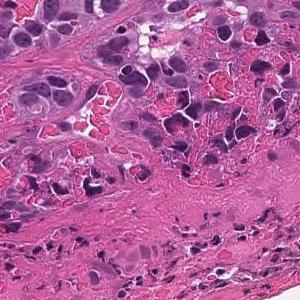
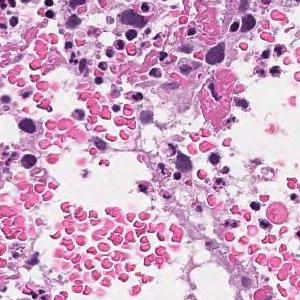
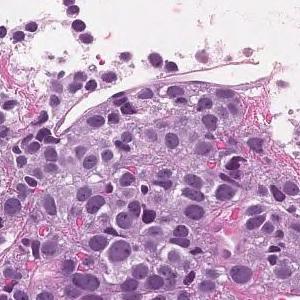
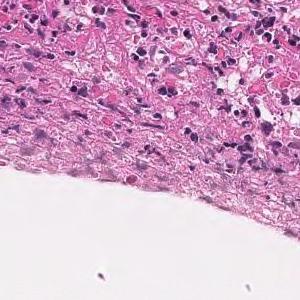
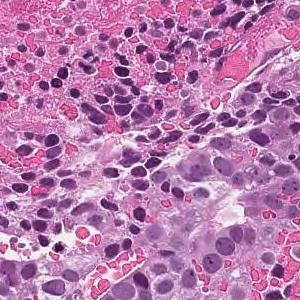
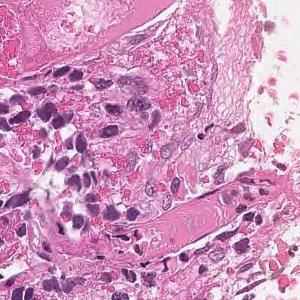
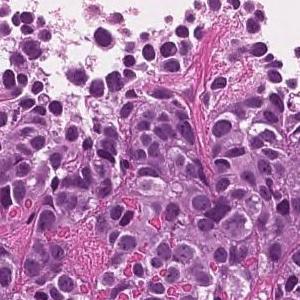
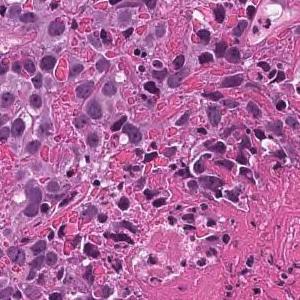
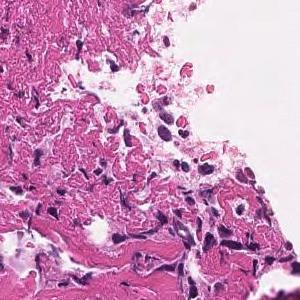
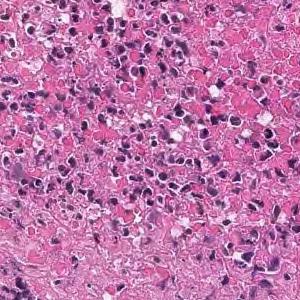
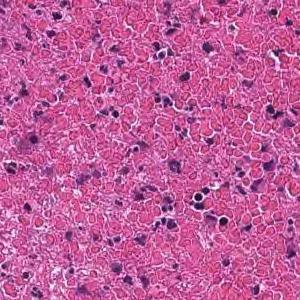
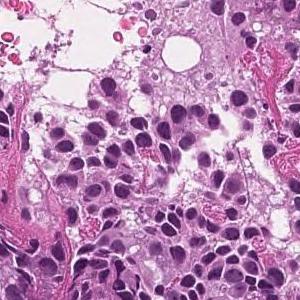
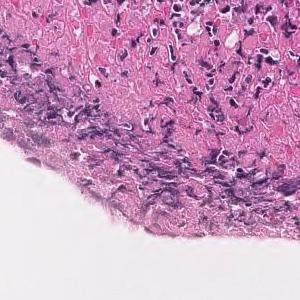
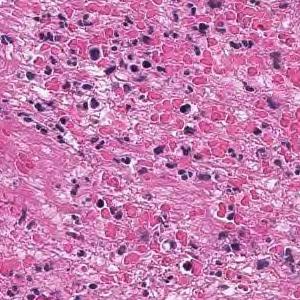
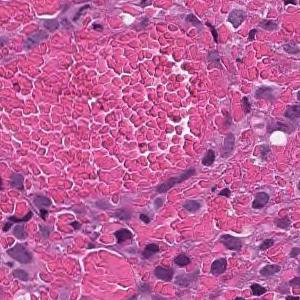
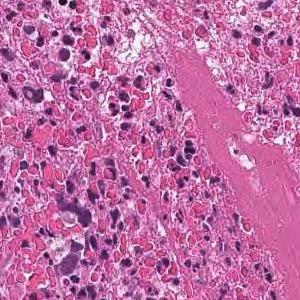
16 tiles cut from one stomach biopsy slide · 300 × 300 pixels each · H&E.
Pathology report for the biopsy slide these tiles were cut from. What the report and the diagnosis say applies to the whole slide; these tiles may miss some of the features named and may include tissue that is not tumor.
The superficial epithelium shows a large sheet-like shape, and some tumor tissue infiltrates with small irregular ducts. Poorly differentiated adenocarcinoma, solid-type
Tumor subtype: poorly differentiated adenocarcinoma, solid type (Japanese Classification of Gastric Carcinoma). The WHO 2019 equivalent is tubular adenocarcinoma, poorly differentiated.
